8 image tiles from a single gastric biopsy slide; 300×300 px each; H&E.
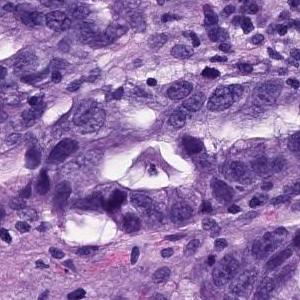
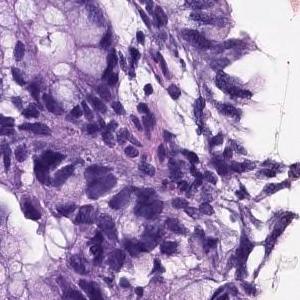
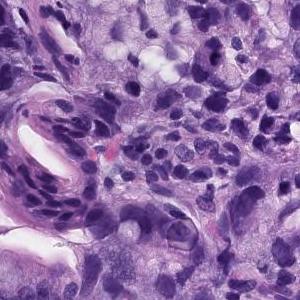
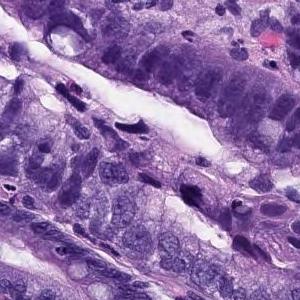
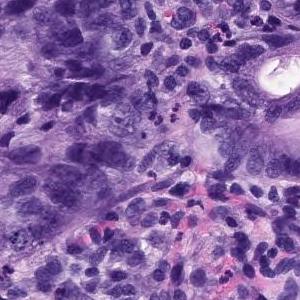
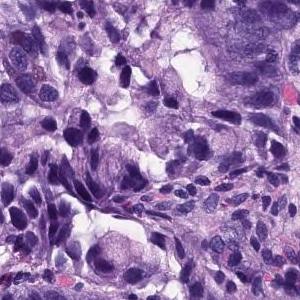
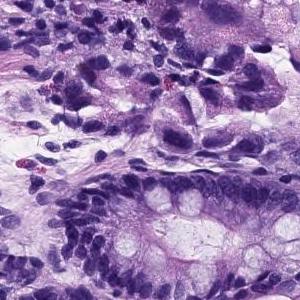
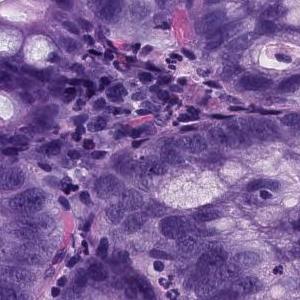
Pathology report for the biopsy slide these tiles were cut from. The report describes the whole slide, diagnosis included: not every finding it names need appear in these tiles, which may also show non-tumor tissue.
There are large atypical epithelial cells infiltrating and proliferating while forming atypical glandular cavities showing a fusion tendency. Moderately differentiated tubular adenocarcinoma.
